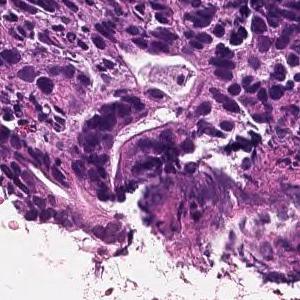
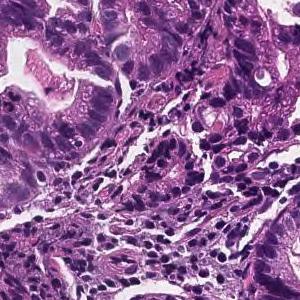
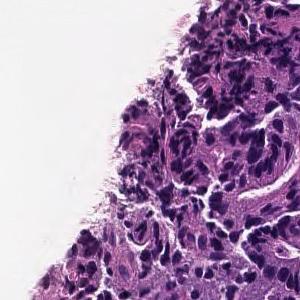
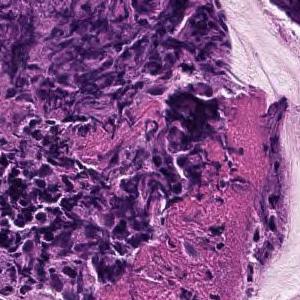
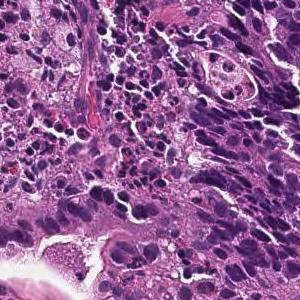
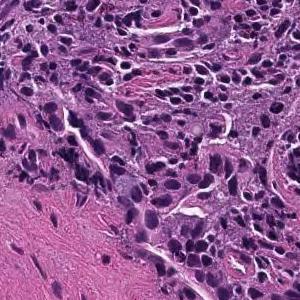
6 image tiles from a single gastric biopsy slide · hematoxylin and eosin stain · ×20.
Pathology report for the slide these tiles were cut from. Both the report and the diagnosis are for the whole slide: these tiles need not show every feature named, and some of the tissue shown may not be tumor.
On the superficial epithelium, tumor tissue consisting of large irregular glandular ducts partially fused and infiltrated is observed. Well to moderately differentiated tubular adenocarcinoma (well differentiated tubular adenocarcinoma, moderately differentiated tubular adenocarcinoma)
Subtype: Well to moderately differentiated tubular adenocarcinoma.
